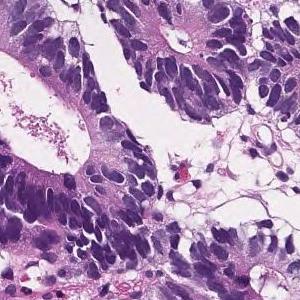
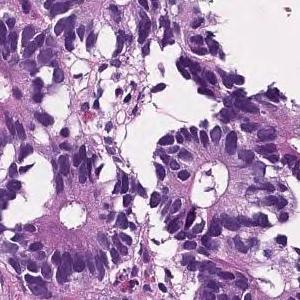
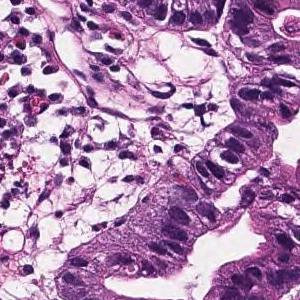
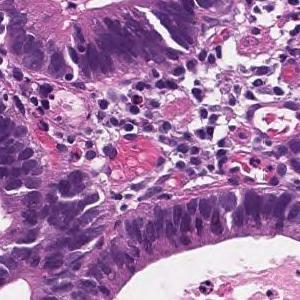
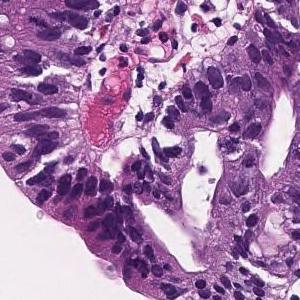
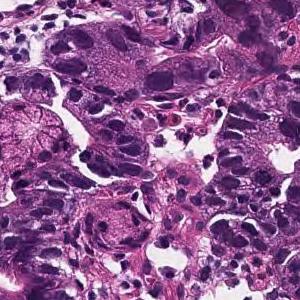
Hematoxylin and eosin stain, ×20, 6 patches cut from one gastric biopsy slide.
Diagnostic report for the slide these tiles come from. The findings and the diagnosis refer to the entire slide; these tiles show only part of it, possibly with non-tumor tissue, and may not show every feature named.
On the superficial epithelium, tumor tissue consisting of large, irregular glandular ducts partially fused and infiltrated is observed. Well to moderately differentiated tubular adenocarcinoma (well differentiated tubular adenocarcinoma, moderately differentiated tubular adenocarcinoma)
Subtype: Well to moderately differentiated tubular adenocarcinoma.
